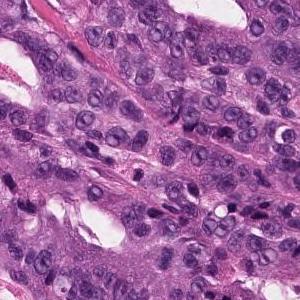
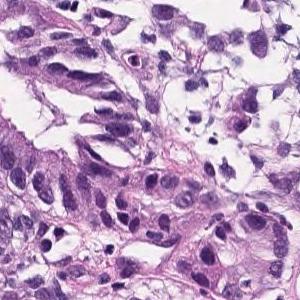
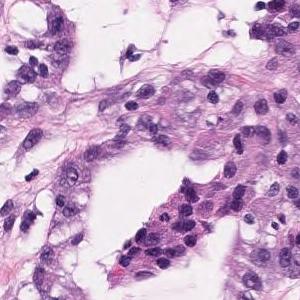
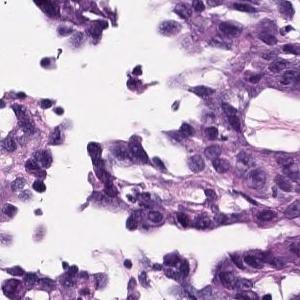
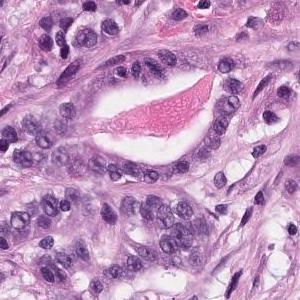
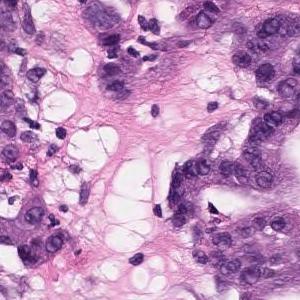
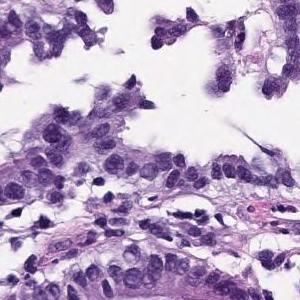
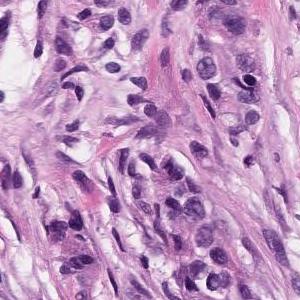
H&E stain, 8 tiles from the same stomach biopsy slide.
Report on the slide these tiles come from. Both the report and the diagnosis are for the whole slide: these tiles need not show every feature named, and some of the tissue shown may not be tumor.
In the superficial epithelium, tumor tissue that invades by forming medium-sized to small, irregular ducts is observed. Moderately differentiated adenocarcinoma.
Tumor subtype: moderately differentiated tubular adenocarcinoma.
